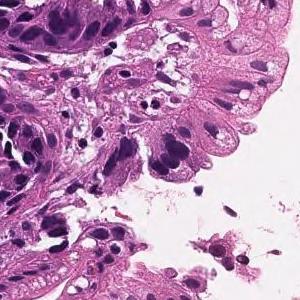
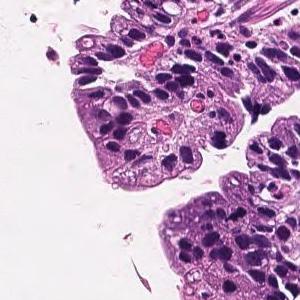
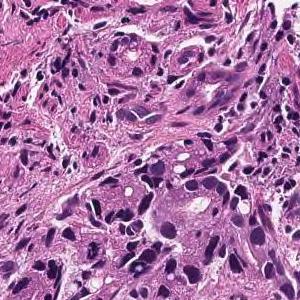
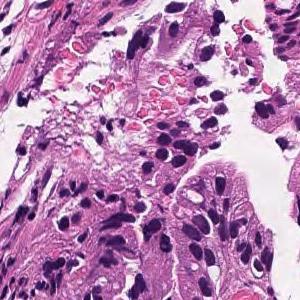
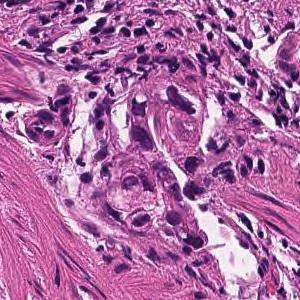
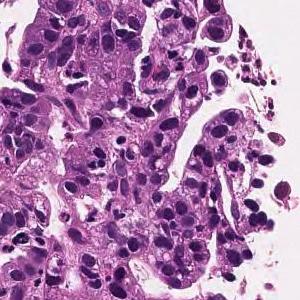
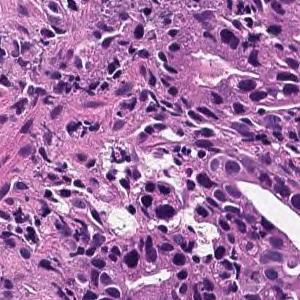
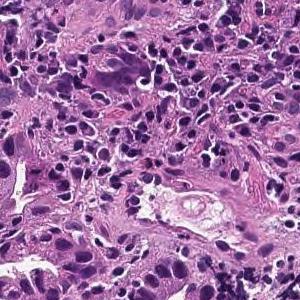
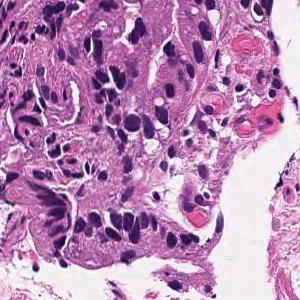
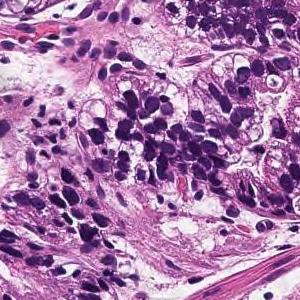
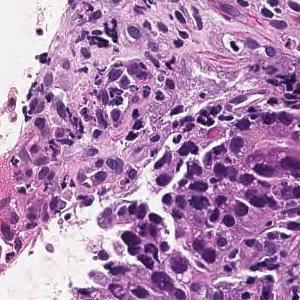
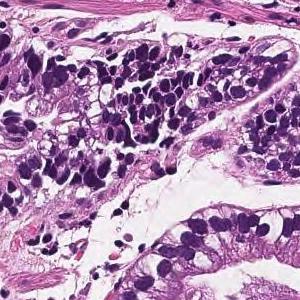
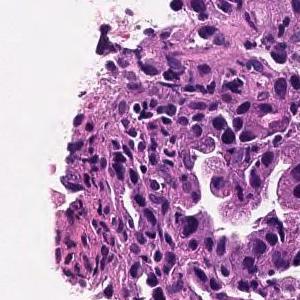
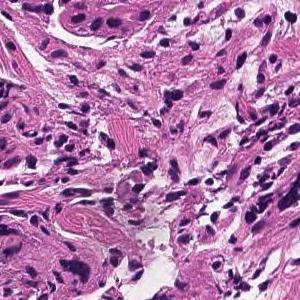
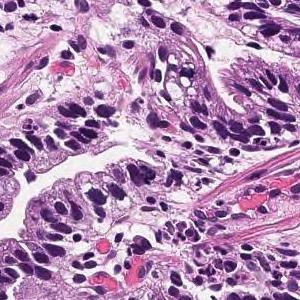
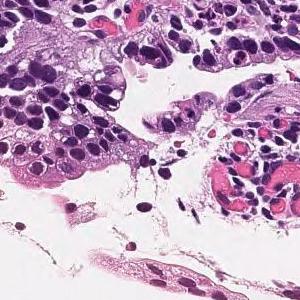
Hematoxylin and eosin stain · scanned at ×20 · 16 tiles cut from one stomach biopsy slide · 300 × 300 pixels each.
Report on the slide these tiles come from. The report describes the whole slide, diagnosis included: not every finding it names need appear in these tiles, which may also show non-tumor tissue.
On the superficial epithelium, tumor tissue is found in which medium-sized irregular gland ducts fuse with each other and infiltrate. moderately differentiated tubular adenocarcinoma or Poorly differentiated adenocarcinoma, non-solid type
Histologic type: Moderately to poorly differentiated adenocarcinoma.
The term "non-solid type" comes from the Japanese Classification of Gastric Carcinoma.
